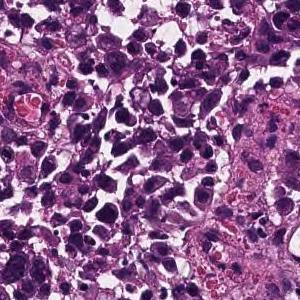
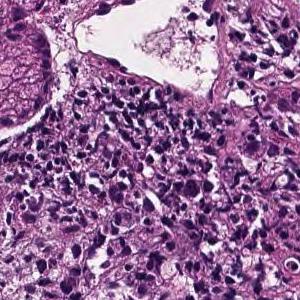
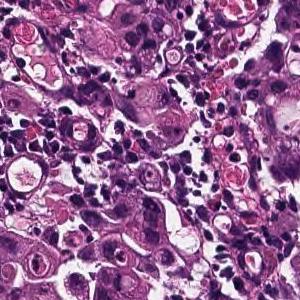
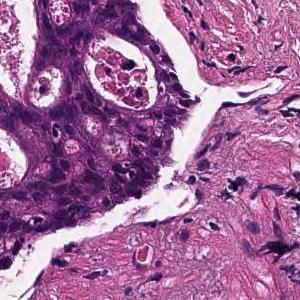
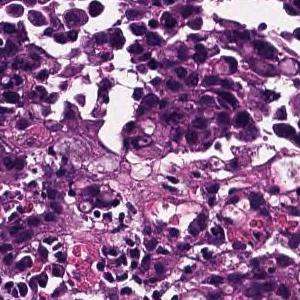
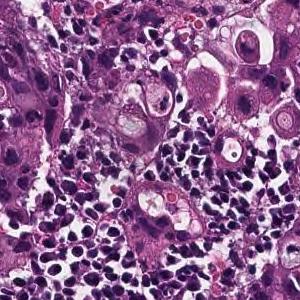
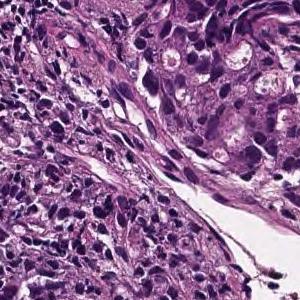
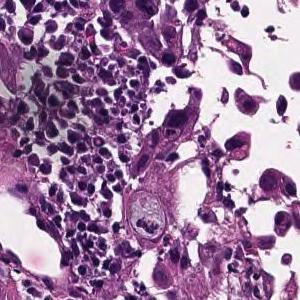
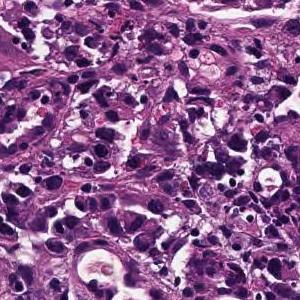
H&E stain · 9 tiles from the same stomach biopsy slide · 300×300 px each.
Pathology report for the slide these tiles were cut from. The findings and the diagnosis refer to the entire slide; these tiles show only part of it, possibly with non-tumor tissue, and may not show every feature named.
The superficial epithelium shows a large sheet-like shape, and some tumor tissue infiltrates with small irregular ducts. Poorly differentiated adenocarcinoma, solid-type
Subtype: Poorly differentiated adenocarcinoma, solid type, a category of the Japanese Classification of Gastric Carcinoma; in the WHO 2019 classification it is tubular adenocarcinoma, poorly differentiated.
